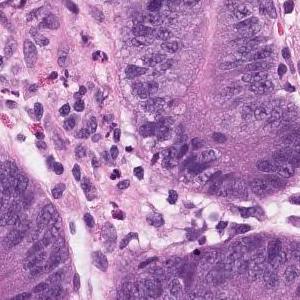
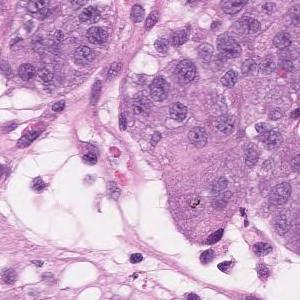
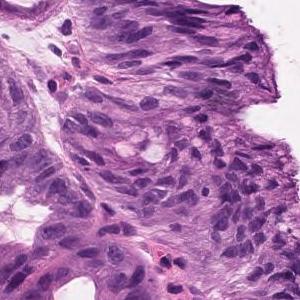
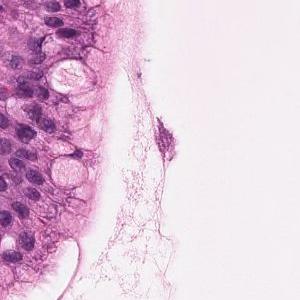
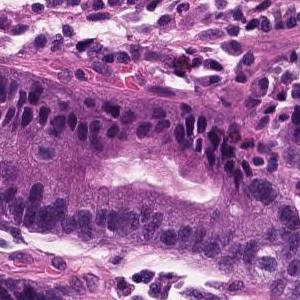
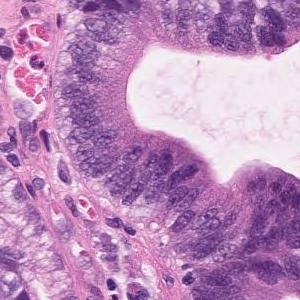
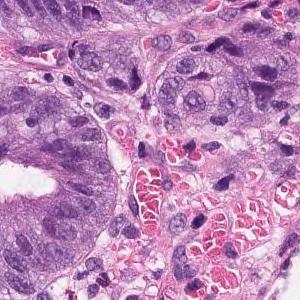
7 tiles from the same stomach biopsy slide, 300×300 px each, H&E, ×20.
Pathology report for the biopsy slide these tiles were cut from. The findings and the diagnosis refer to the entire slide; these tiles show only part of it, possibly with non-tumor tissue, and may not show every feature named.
On the superficial epithelium, tumor tissue consisting of large, irregular glandular ducts partially fused and infiltrated is observed. Well to moderately differentiated tubular adenocarcinoma (well differentiated tubular adenocarcinoma, moderately differentiated tubular adenocarcinoma)
Histological subtype: Well to moderately differentiated tubular adenocarcinoma.
